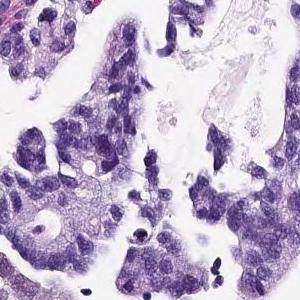
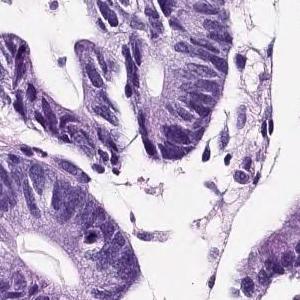
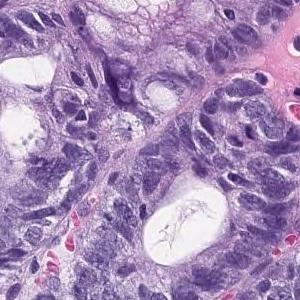
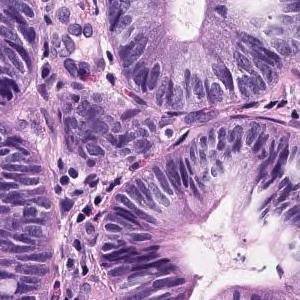
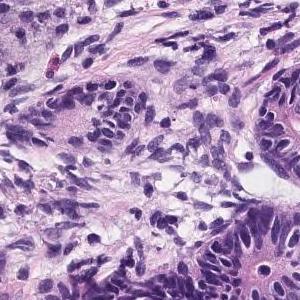
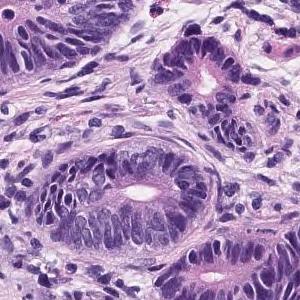
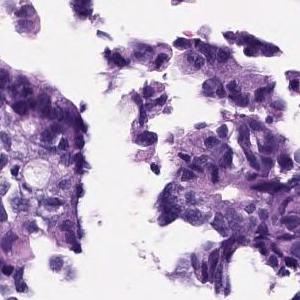
7 tiles cut from one stomach biopsy slide, hematoxylin and eosin stain.
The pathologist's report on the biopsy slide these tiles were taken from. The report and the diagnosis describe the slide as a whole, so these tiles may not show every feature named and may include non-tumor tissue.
On the superficial epithelium, tumor tissue consisting of medium-sized to large-sized, round or irregular glandular duct growth images is observed. Well differentiated adenocarcinoma.
Histologic type: Well differentiated tubular adenocarcinoma.
